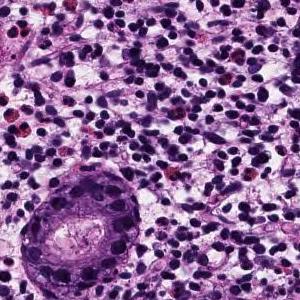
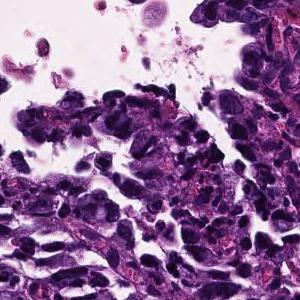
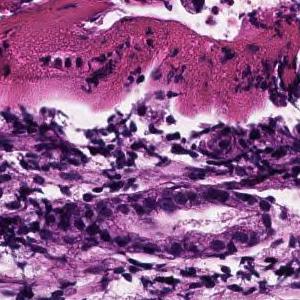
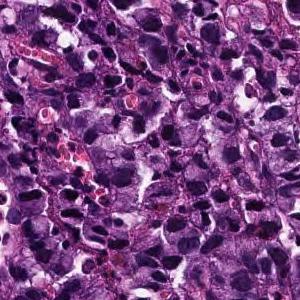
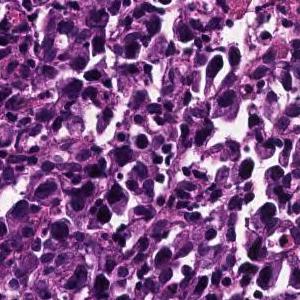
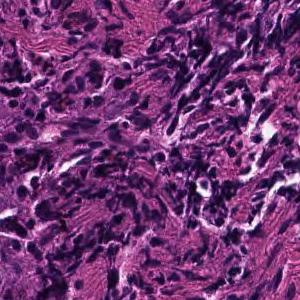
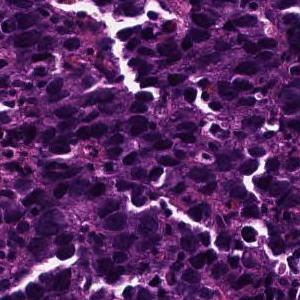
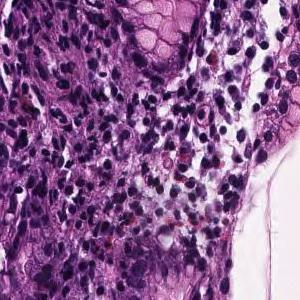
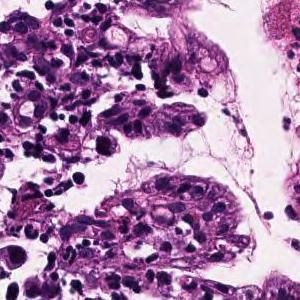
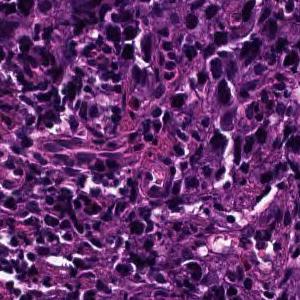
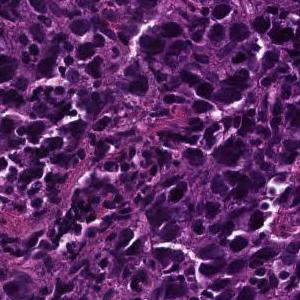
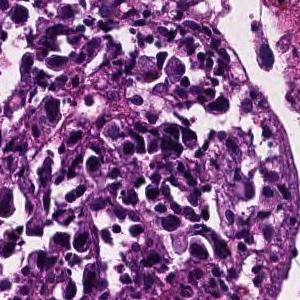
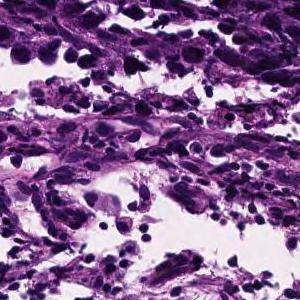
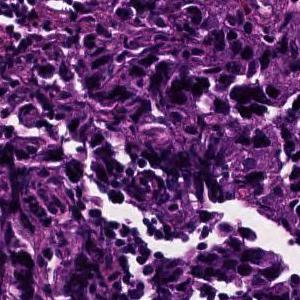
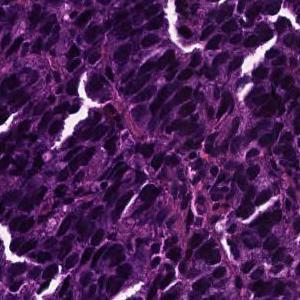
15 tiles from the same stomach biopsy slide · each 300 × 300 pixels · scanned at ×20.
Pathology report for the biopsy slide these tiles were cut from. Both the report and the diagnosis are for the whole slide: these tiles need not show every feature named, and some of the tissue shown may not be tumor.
The superficial epithelium shows a large sheet-like shape, and some tumor tissues infiltrate with a small cord-like structure. Poorly differentiated adenocarcinoma, solid type (poorly differentiated adenocarcinoma, solid type)
Histologic type: Poorly differentiated adenocarcinoma, solid type, a category of the Japanese Classification of Gastric Carcinoma; in the WHO 2019 classification it is tubular adenocarcinoma, poorly differentiated.
